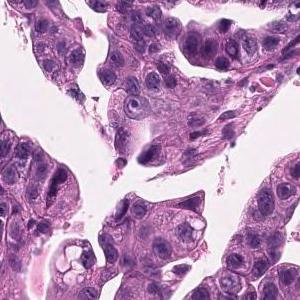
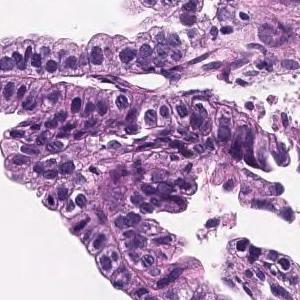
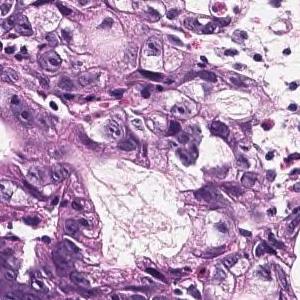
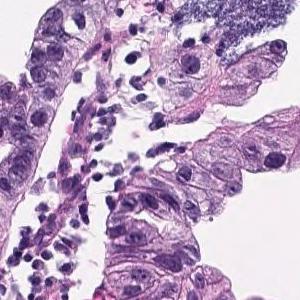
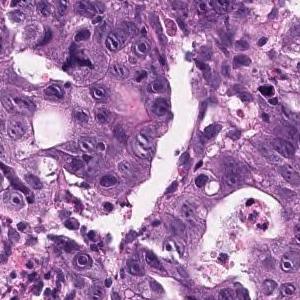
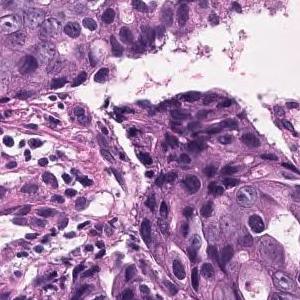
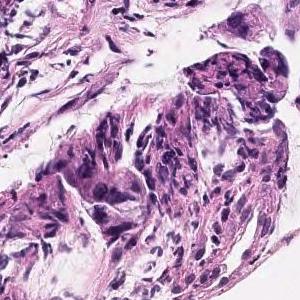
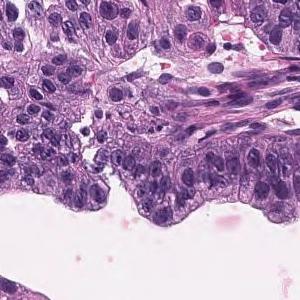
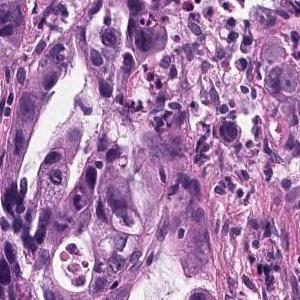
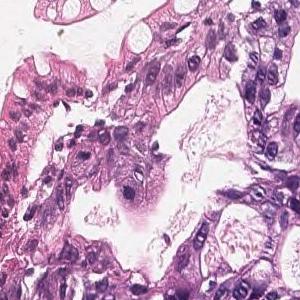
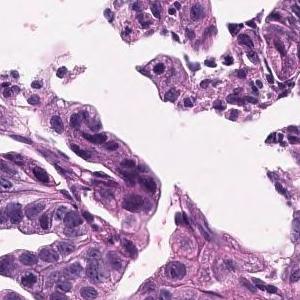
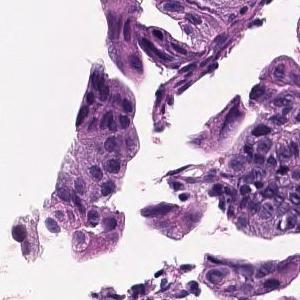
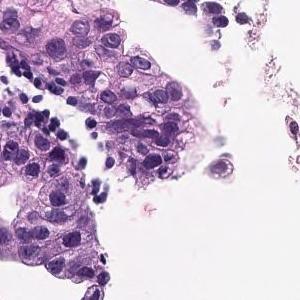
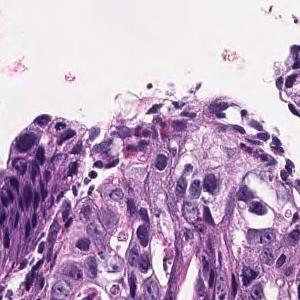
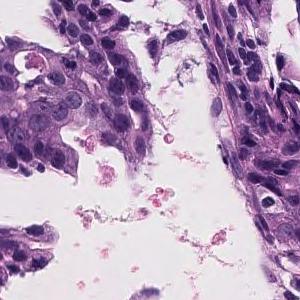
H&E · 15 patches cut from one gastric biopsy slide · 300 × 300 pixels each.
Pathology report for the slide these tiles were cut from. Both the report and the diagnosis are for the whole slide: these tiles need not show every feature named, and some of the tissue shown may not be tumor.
Tumor cells are large, highly columnar, large club-shaped nuclei, and are associated with chromatin aggregation. Papillary adenocarcinoma.
